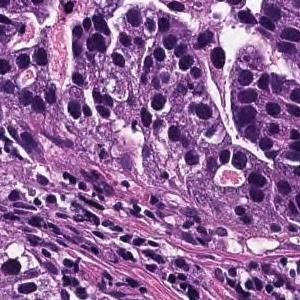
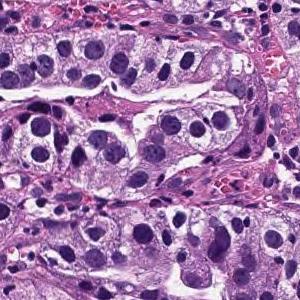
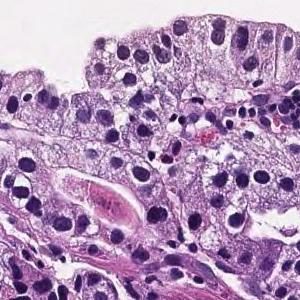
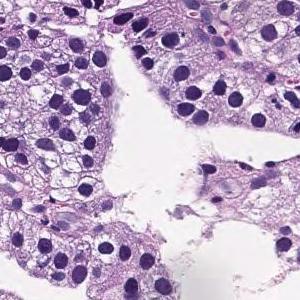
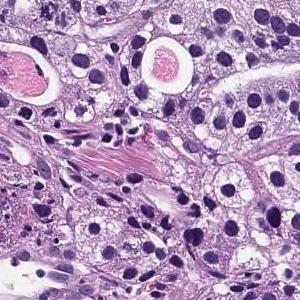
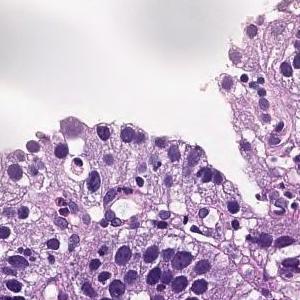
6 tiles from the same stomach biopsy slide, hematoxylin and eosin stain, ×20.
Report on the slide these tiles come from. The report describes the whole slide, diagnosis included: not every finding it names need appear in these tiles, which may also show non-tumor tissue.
On the superficial epithelium, tumor tissue that infiltrates by forming medium-sized papillary or small irregular ducts is observed. Papillary adenocarcinoma
